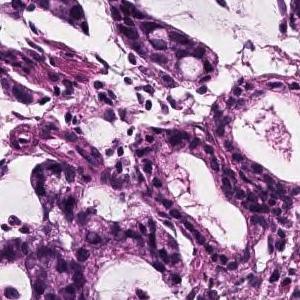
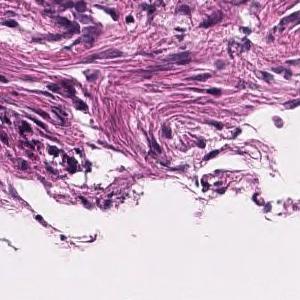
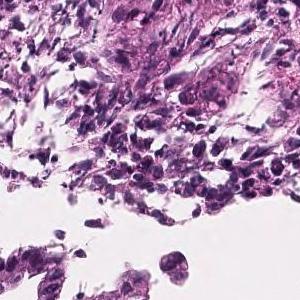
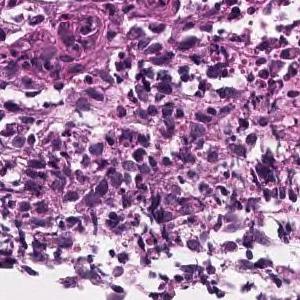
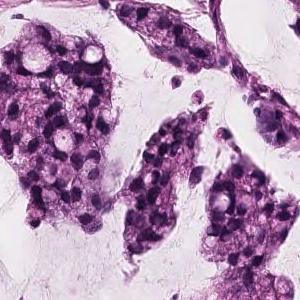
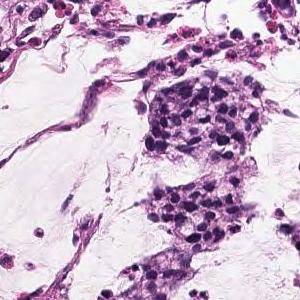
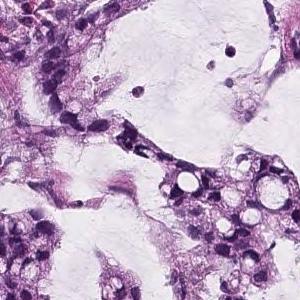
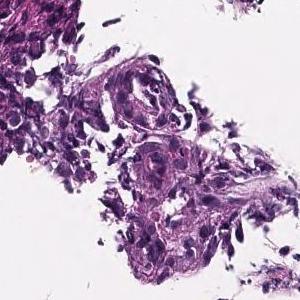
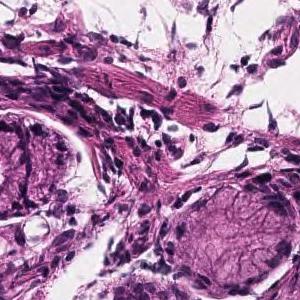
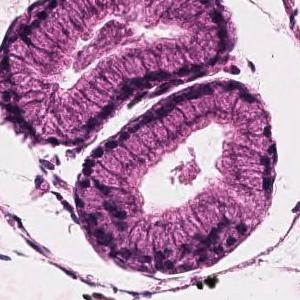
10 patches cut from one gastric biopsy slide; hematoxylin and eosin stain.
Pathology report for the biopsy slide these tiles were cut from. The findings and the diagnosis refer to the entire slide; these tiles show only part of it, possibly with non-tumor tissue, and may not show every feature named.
Atypical epithelial cells form obscure ductal structures or small solid follicles, and tumor tissue that proliferates invasively with proliferation of inflammatory granulation tissue is observed. Mucinous adenocarcinoma .
